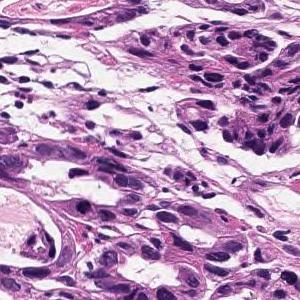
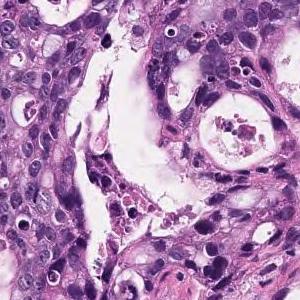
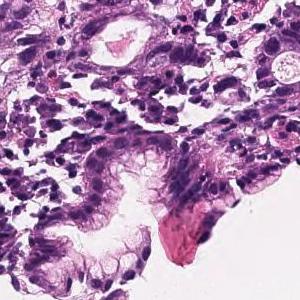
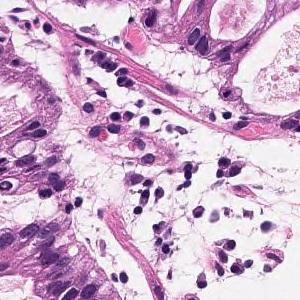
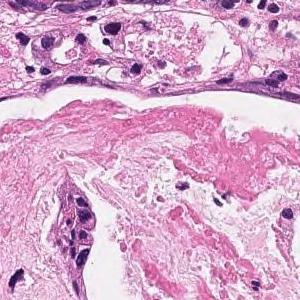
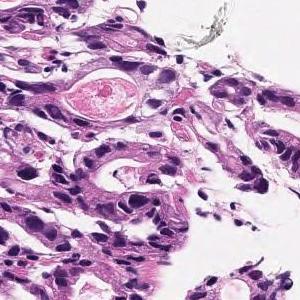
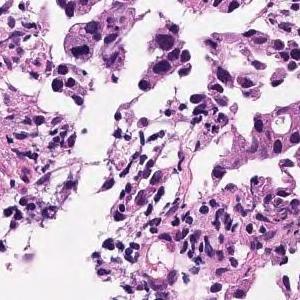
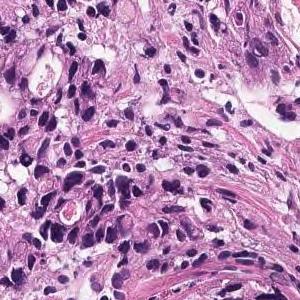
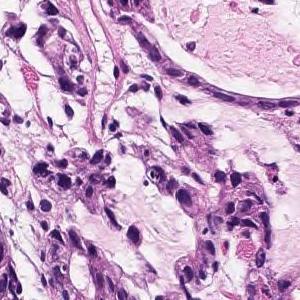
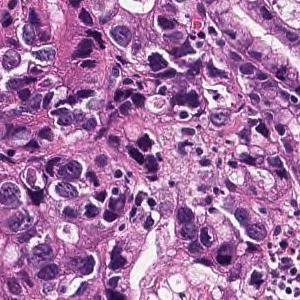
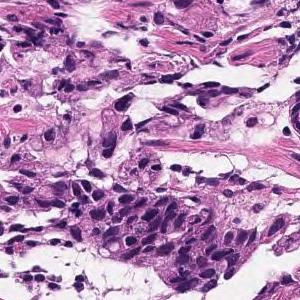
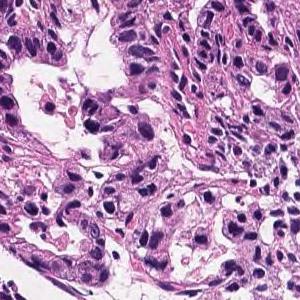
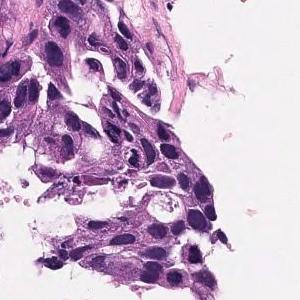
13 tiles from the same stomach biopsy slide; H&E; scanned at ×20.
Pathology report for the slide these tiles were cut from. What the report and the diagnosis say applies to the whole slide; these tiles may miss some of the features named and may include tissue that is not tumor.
In the superficial epithelium, tumor tissue that invades by forming medium-sized to small, irregular ducts is observed. Moderately differentiated adenocarcinoma.
Tumor subtype: moderately differentiated tubular adenocarcinoma.
